×20 · hematoxylin and eosin stain · 6 tiles cut from one stomach biopsy slide.
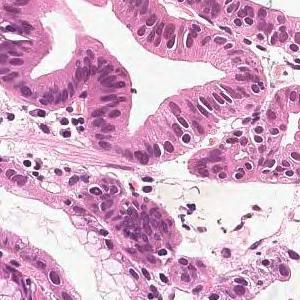
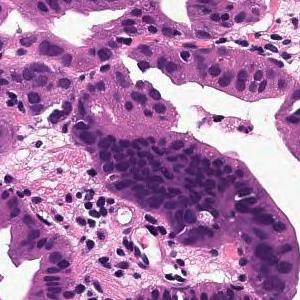
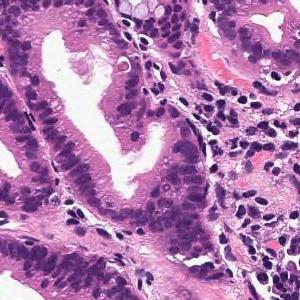
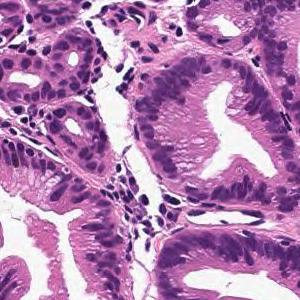
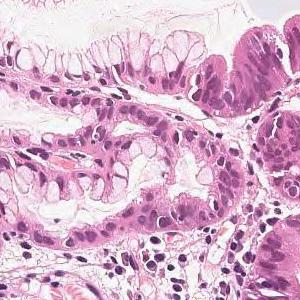
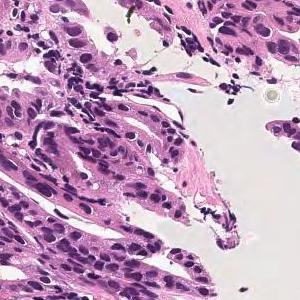
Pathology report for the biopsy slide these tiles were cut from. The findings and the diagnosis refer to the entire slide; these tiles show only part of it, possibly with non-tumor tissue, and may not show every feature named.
Cells with elliptical or atypical nuclei form dense ducts with relatively clear growth. Well differentiated tubular adenocarcinoma
